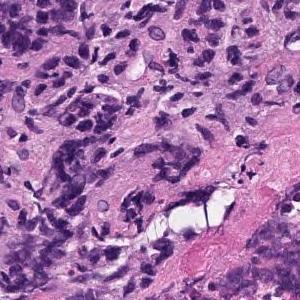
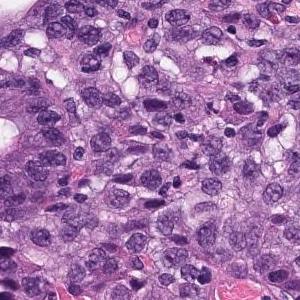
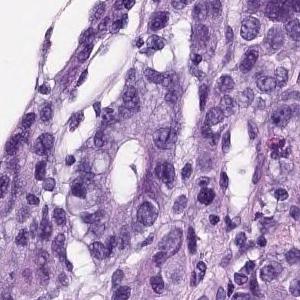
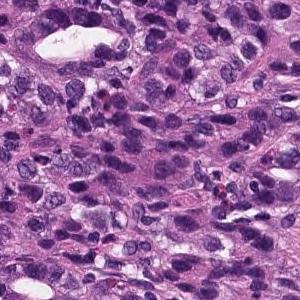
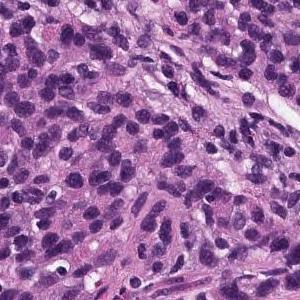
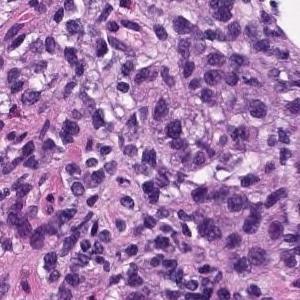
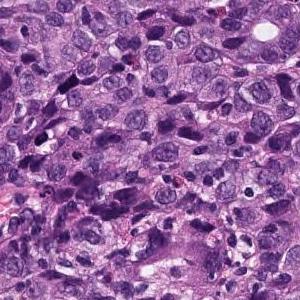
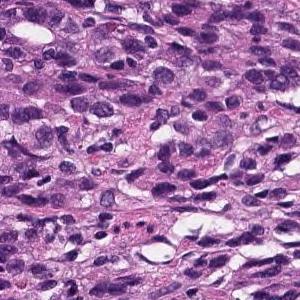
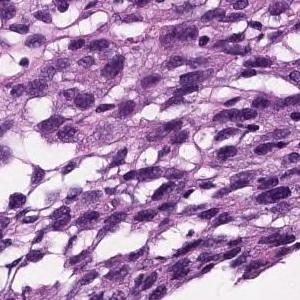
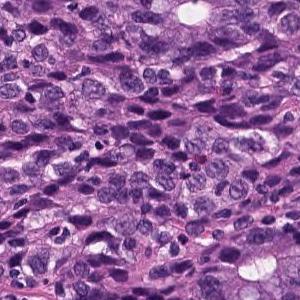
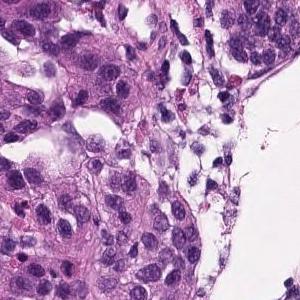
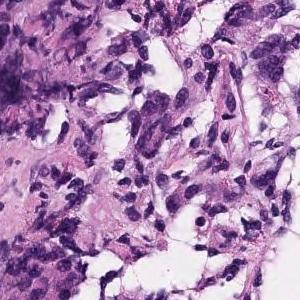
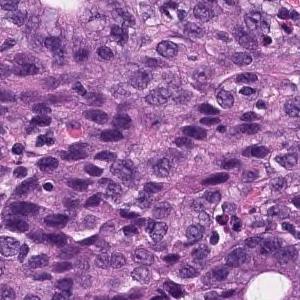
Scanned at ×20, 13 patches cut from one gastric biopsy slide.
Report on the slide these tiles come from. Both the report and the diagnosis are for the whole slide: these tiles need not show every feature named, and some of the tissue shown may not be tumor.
In the superficial epithelium, tumor tissue that invades by forming medium-sized to small, irregular ducts is observed. Moderately differentiated adenocarcinoma.
Histologic type: Moderately differentiated tubular adenocarcinoma.
